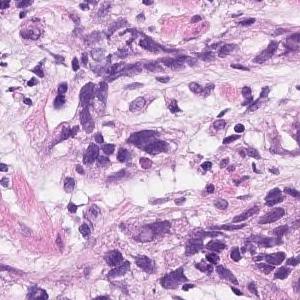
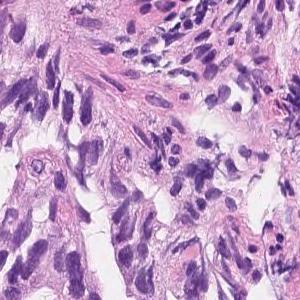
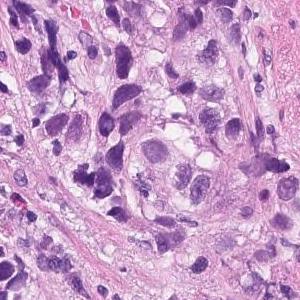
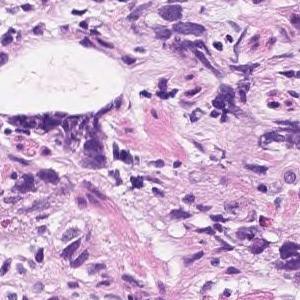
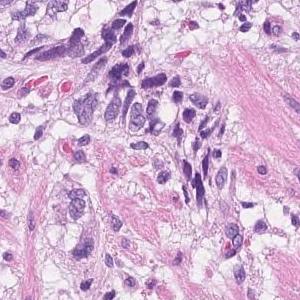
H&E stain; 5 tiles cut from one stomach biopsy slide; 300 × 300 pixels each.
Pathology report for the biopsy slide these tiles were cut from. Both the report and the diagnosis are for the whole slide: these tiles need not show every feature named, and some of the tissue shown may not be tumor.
In the superficial epithelium, tumor tissue that invades by forming medium-sized to small, irregular ducts is observed. Moderately differentiated adenocarcinoma.
Tumor subtype: moderately differentiated tubular adenocarcinoma.
